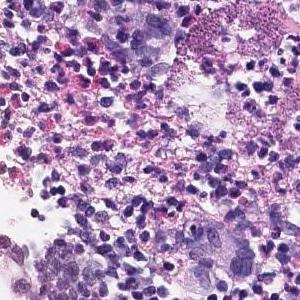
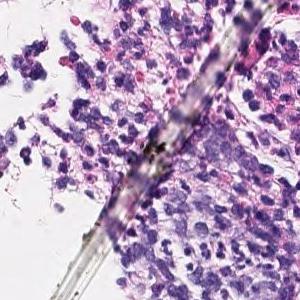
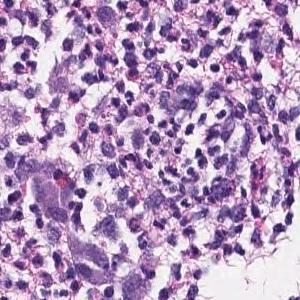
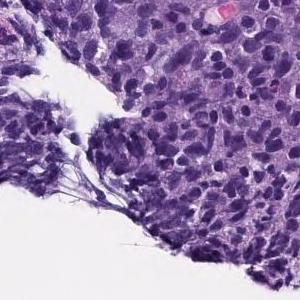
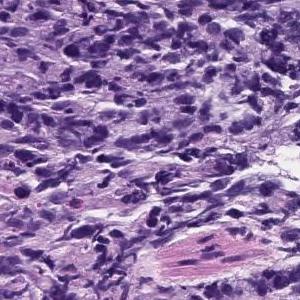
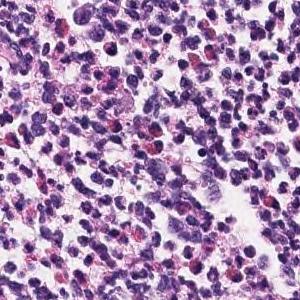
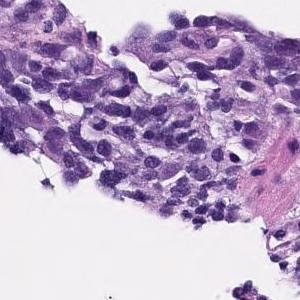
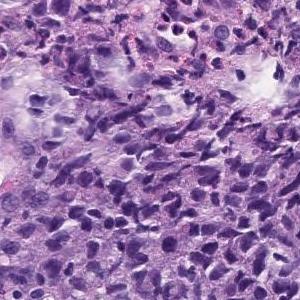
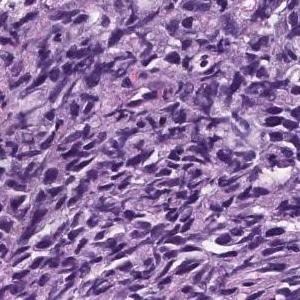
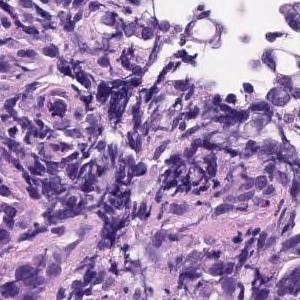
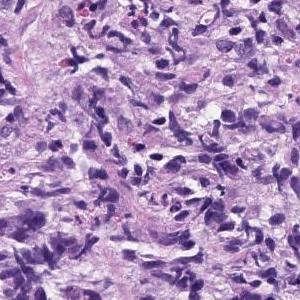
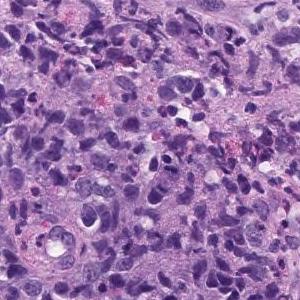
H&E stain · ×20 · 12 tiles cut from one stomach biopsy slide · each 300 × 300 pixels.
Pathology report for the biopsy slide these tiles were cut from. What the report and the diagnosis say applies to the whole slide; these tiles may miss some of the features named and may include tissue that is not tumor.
The superficial epithelium shows a large sheet-like shape, and some tumor tissue infiltrates with small irregular ducts. Poorly differentiated adenocarcinoma, solid-type
Classified as poorly differentiated adenocarcinoma, solid type. This name comes from the Japanese Classification of Gastric Carcinoma; the WHO 2019 classification calls it tubular adenocarcinoma, poorly differentiated.
